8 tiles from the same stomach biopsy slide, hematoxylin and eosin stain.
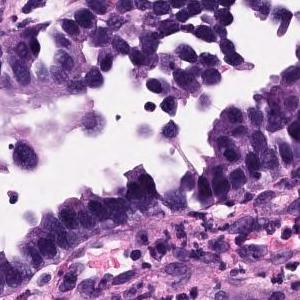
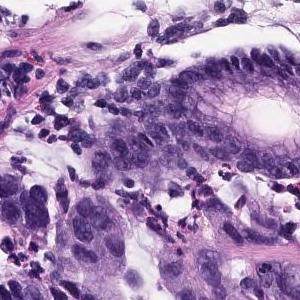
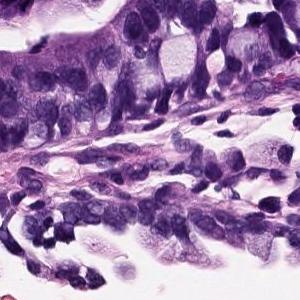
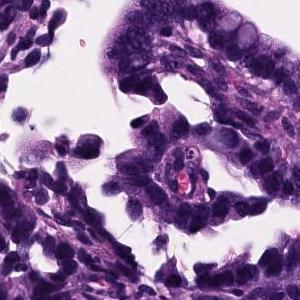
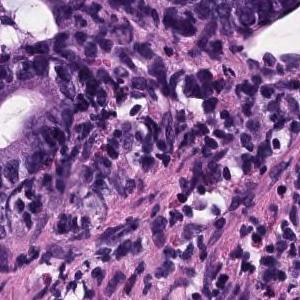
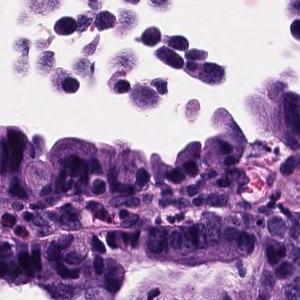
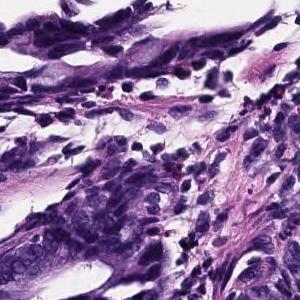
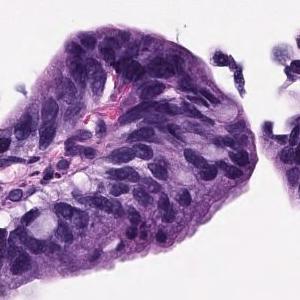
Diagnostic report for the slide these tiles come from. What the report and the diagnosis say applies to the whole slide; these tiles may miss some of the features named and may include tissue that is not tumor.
Atypical epithelium proliferating showing villus construction and irregular gland duct construction is observed. Moderately differentiated tubular adenocarcinoma.
